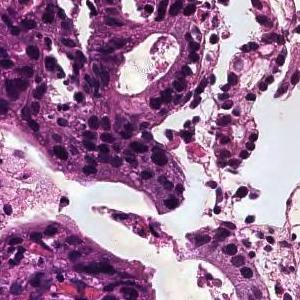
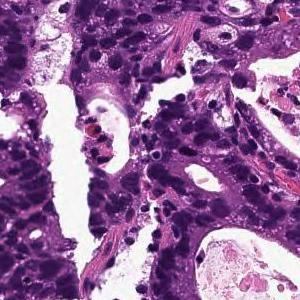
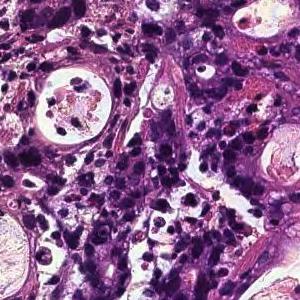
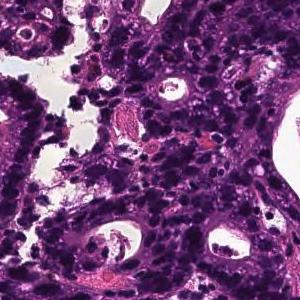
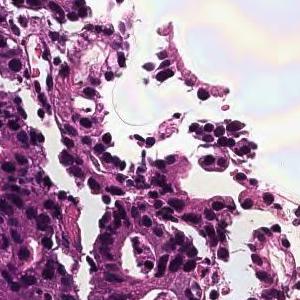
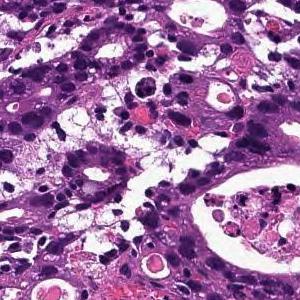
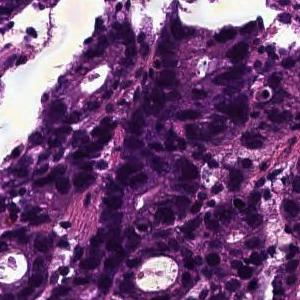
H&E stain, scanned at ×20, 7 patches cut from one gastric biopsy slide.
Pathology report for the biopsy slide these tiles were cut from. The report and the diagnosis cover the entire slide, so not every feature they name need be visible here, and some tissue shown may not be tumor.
In the superficial epithelium, tumor tissue that invades by forming medium-sized to small, irregular ducts is observed. moderately differentiated tubular adenocarcinoma.
